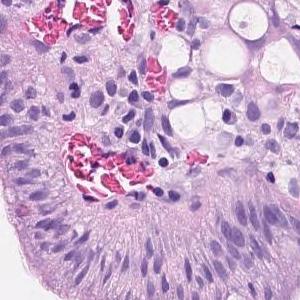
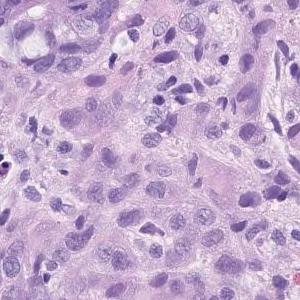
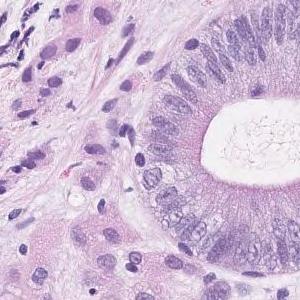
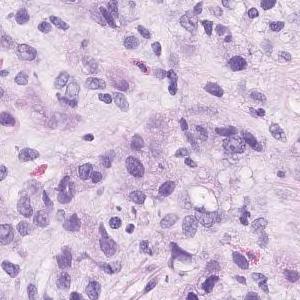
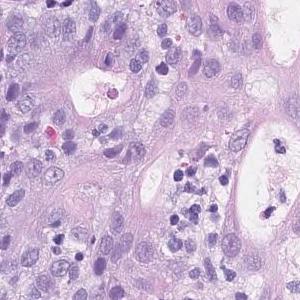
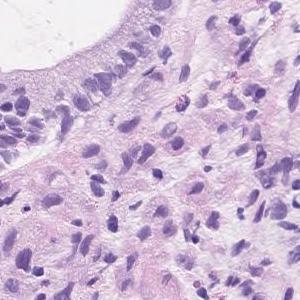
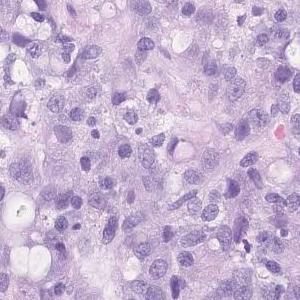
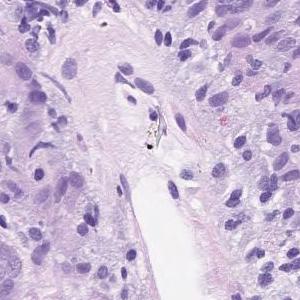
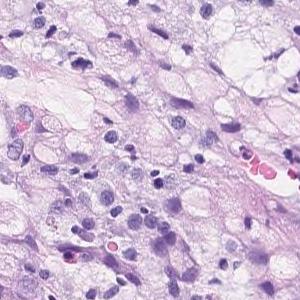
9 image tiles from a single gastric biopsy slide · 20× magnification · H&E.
Diagnostic report for the slide these tiles come from. Both the report and the diagnosis are for the whole slide: these tiles need not show every feature named, and some of the tissue shown may not be tumor.
Group 5, Adenocarcinoma. Poorly differentiated adenocarcinoma, non-solid type
"Non-solid type" is a category of the Japanese Classification of Gastric Carcinoma.
